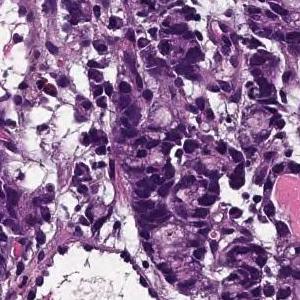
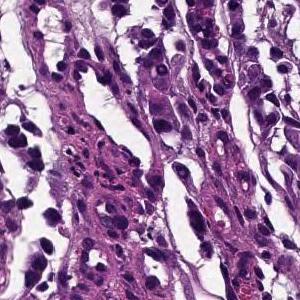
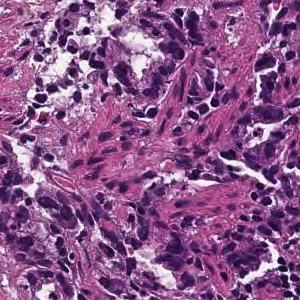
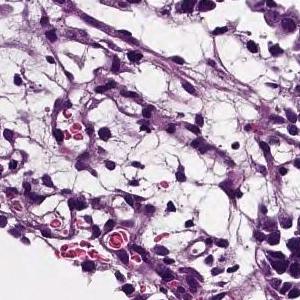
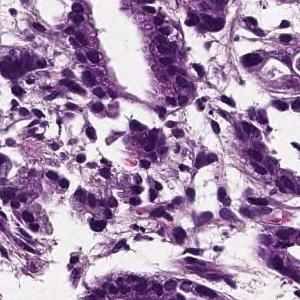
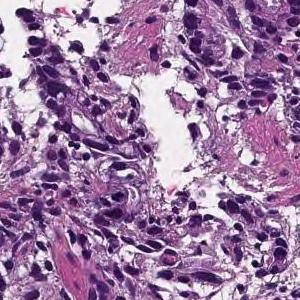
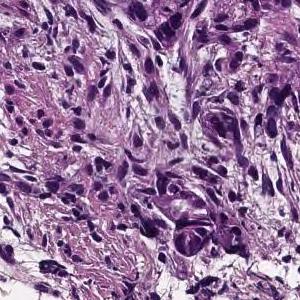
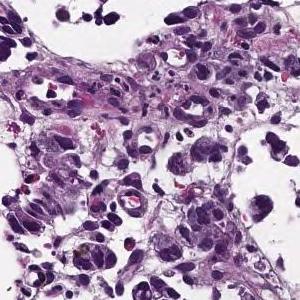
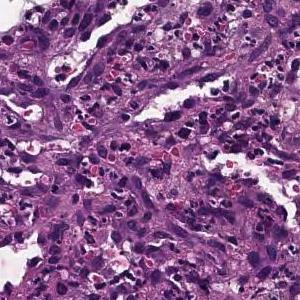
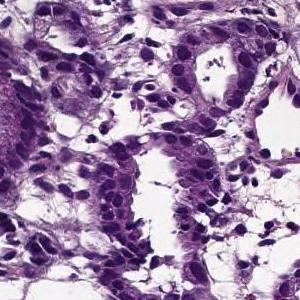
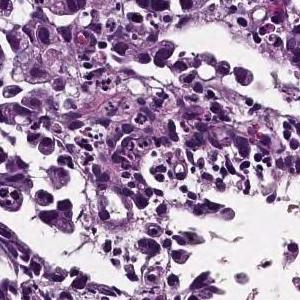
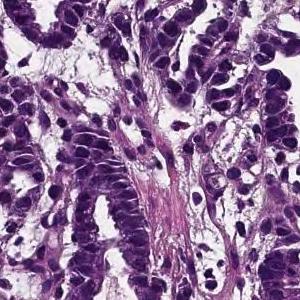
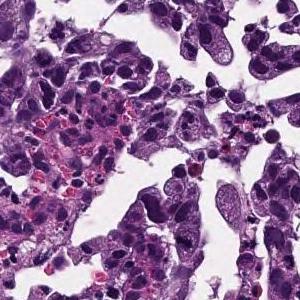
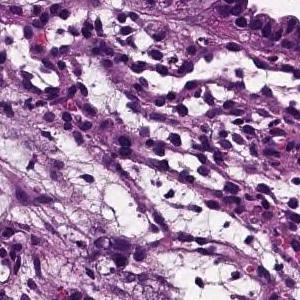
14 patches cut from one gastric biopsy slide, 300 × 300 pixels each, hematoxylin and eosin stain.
Pathology report for the slide these tiles were cut from. The report describes the whole slide, diagnosis included: not every finding it names need appear in these tiles, which may also show non-tumor tissue.
Medium to small, irregular glandular ducts are formed in the superficial epithelium, and in some cases, the glandular ducts are fused to show solid alveolar lesions and infiltrating tumor tissue is observed. Moderately to poorly differentiated adenocarcinoma.
